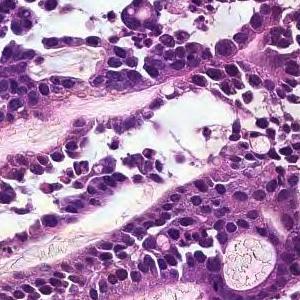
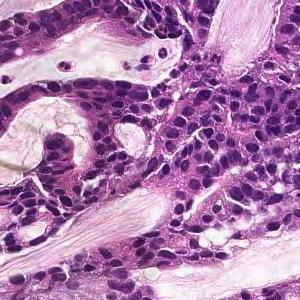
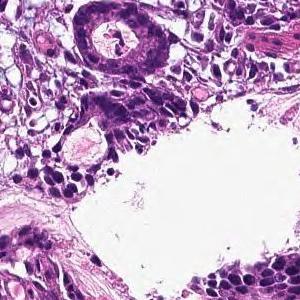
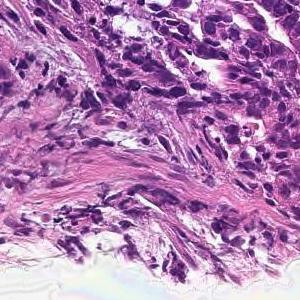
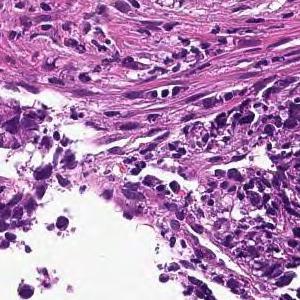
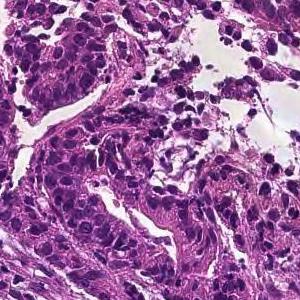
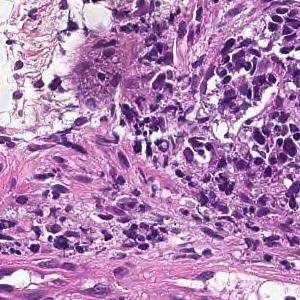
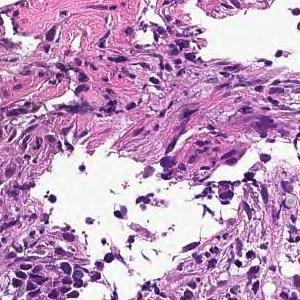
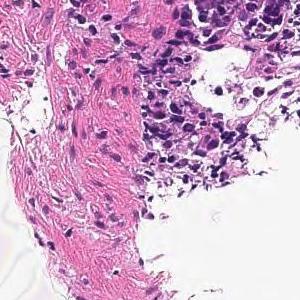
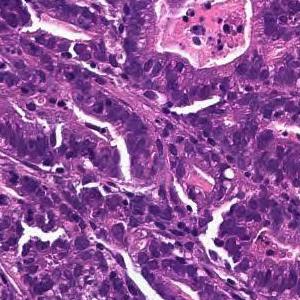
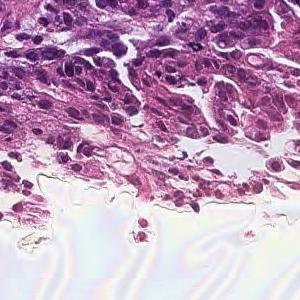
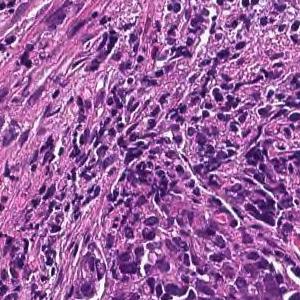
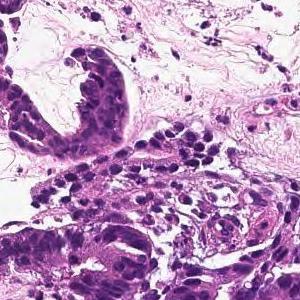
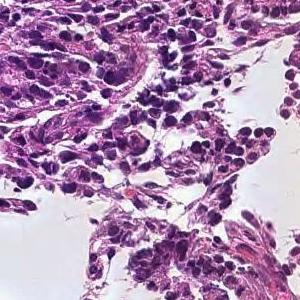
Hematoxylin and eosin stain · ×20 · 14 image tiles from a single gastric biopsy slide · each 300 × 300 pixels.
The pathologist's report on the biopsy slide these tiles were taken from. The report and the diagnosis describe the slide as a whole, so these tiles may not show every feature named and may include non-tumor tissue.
In the superficial epithelium, tumor tissue that invades by forming medium-sized to small, irregular ducts is observed. moderately differentiated tubular adenocarcinoma.
